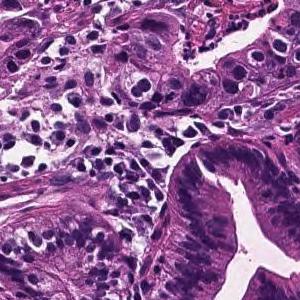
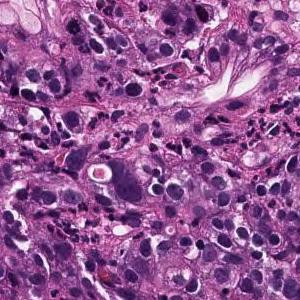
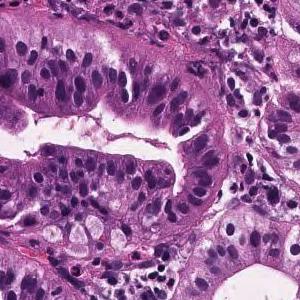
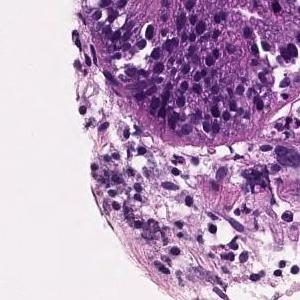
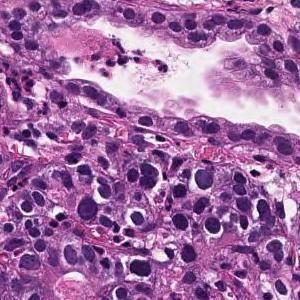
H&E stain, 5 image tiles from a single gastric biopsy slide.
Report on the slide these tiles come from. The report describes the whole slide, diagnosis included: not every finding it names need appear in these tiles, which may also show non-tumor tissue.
In the superficial epithelium, tumor tissue that invades by forming medium-sized to small, irregular ducts is observed. moderately differentiated tubular adenocarcinoma.
